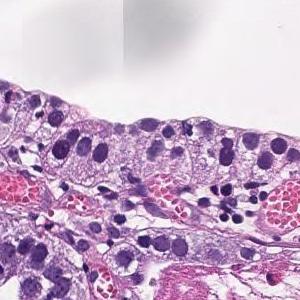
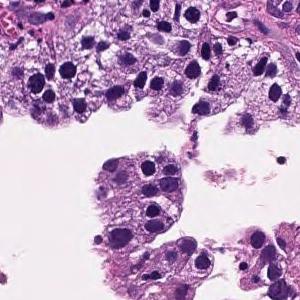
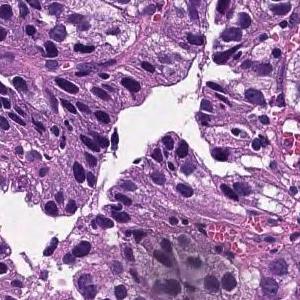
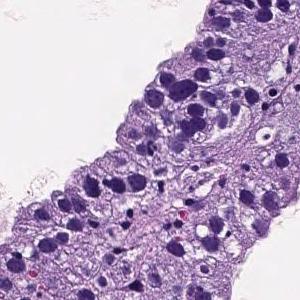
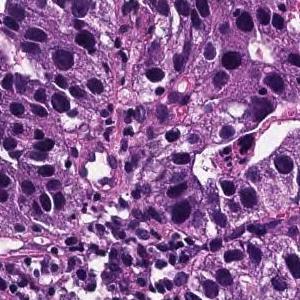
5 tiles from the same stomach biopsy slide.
Pathology report for the biopsy slide these tiles were cut from. The findings and the diagnosis refer to the entire slide; these tiles show only part of it, possibly with non-tumor tissue, and may not show every feature named.
On the superficial epithelium, tumor tissue that infiltrates by forming medium-sized papillary or small irregular ducts is observed. Papillary adenocarcinoma
